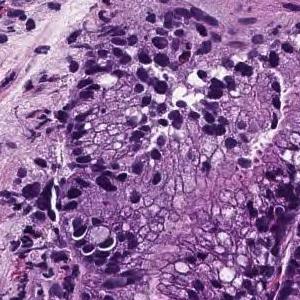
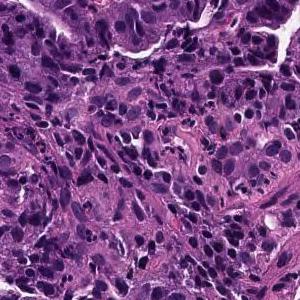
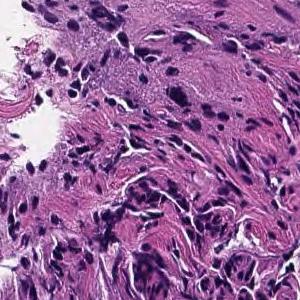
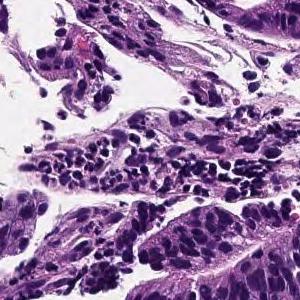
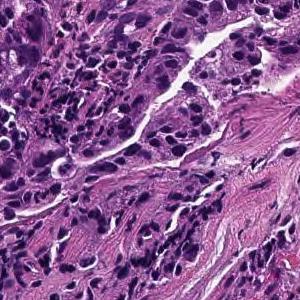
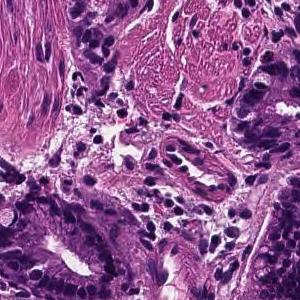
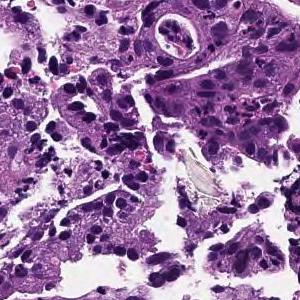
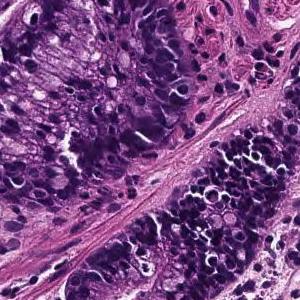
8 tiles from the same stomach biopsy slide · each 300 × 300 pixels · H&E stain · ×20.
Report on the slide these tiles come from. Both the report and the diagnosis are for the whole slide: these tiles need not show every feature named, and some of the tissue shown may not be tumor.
From the superficial epithelium to the muscularis mucosae, tumor tissue consisting of medium-sized and irregular glandular ducts infiltrating is observed. Well differentiated tubular adenocarcinoma
